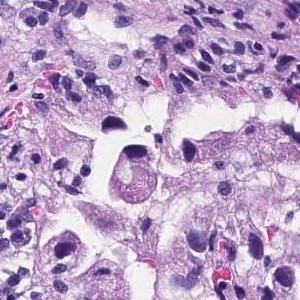
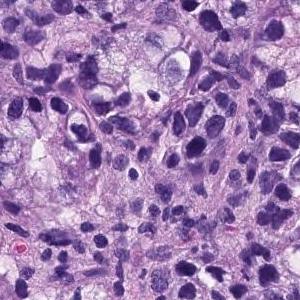
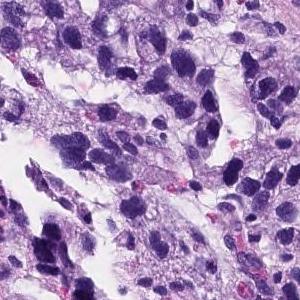
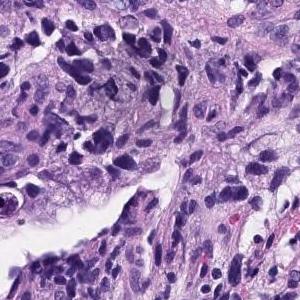
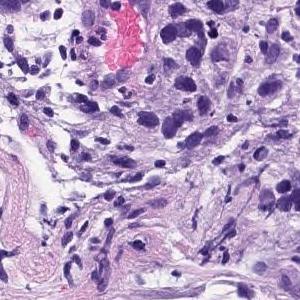
H&E stain, 5 tiles from the same stomach biopsy slide, 300 × 300 pixels each.
Pathology report for the slide these tiles were cut from. What the report and the diagnosis say applies to the whole slide; these tiles may miss some of the features named and may include tissue that is not tumor.
Medium to small, irregular glandular ducts are formed in the superficial epithelium, and in some cases, the glandular ducts are fused to show solid alveolar lesions and infiltrating tumor tissue is observed. Poorly differentiated adenocarcinoma, Moderately differentiated adenocarcinoma.
The dataset labels this slide moderately differentiated tubular adenocarcinoma.
